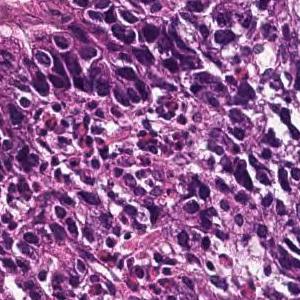
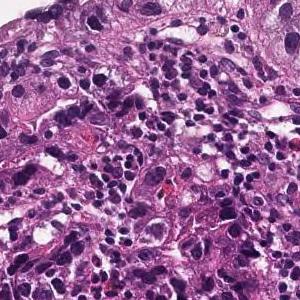
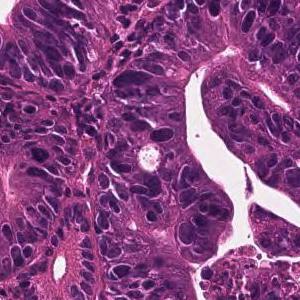
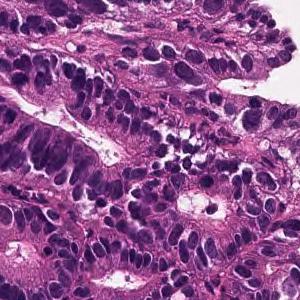
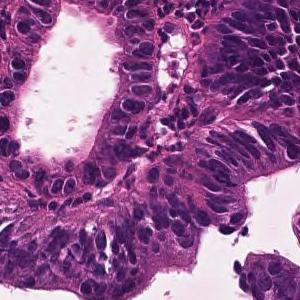
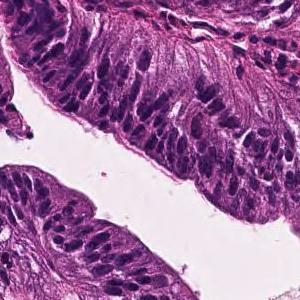
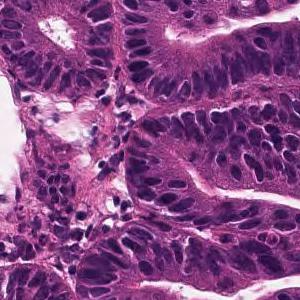
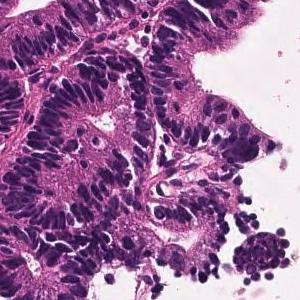
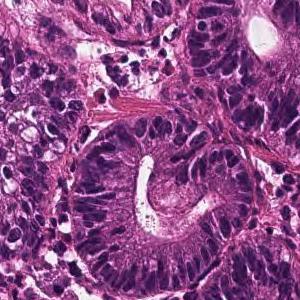
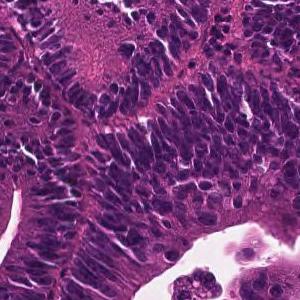
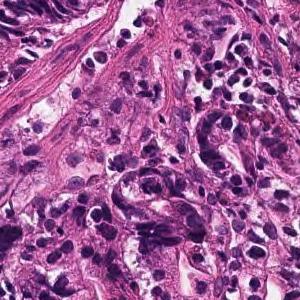
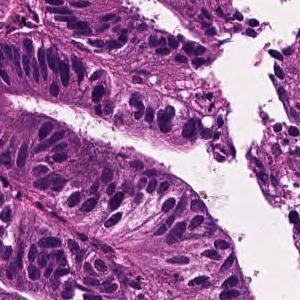
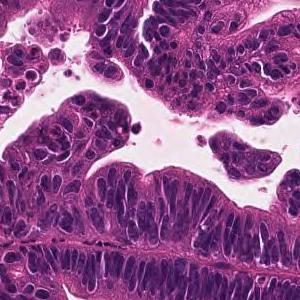
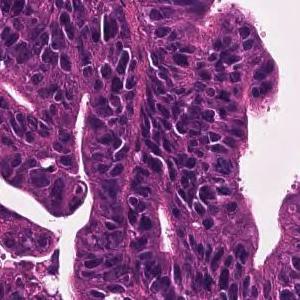
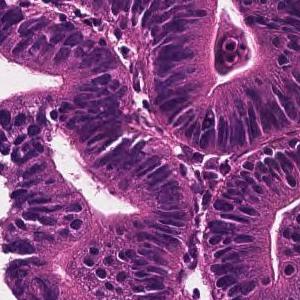
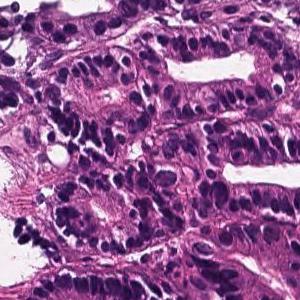
H&E stain · scanned at ×20 · 16 tiles from the same stomach biopsy slide · each 300 × 300 pixels.
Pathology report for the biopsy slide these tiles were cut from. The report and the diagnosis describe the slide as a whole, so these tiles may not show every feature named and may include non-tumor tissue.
A large irregular tubular structure is exhibited in the epithelium, and tumor tissue that partially fuses and infiltrates and proliferates is observed. Large columnar tumor cells exhibit enlarged nucleus, hyperchromatism, and mitotic figures. Well differentiated tubular adenocarcinoma
